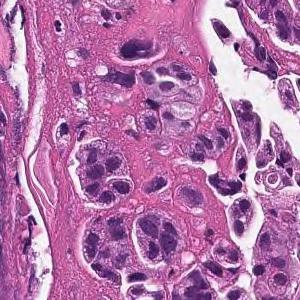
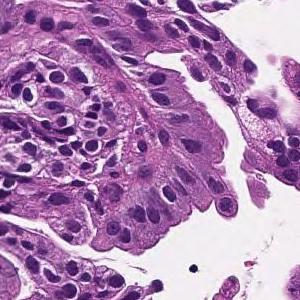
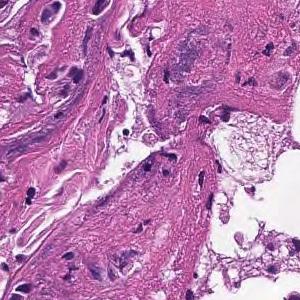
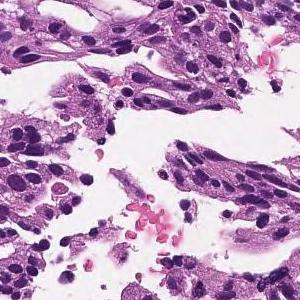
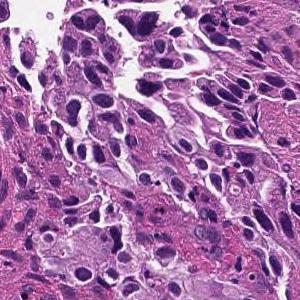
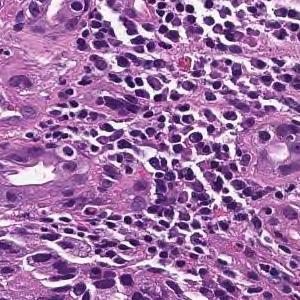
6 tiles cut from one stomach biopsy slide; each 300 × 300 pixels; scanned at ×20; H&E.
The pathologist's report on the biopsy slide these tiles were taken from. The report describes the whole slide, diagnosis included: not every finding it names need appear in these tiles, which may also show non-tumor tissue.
Medium to small, irregular glandular ducts are formed in the superficial epithelium, and in some cases, the glandular ducts are fused to show solid alveolar lesions and infiltrating tumor tissue is observed. Moderately to poorly differentiated adenocarcinoma.
